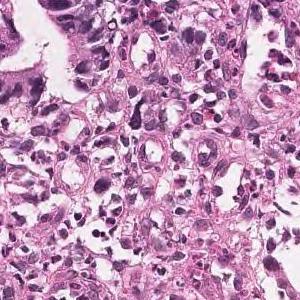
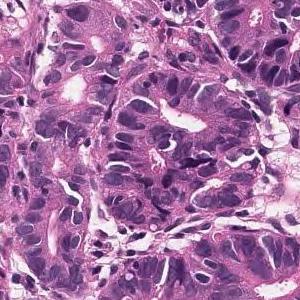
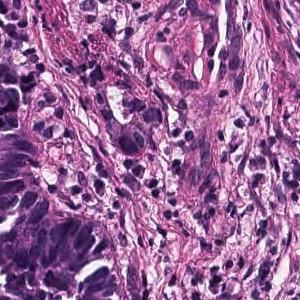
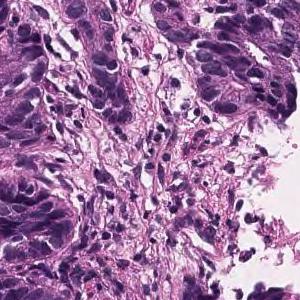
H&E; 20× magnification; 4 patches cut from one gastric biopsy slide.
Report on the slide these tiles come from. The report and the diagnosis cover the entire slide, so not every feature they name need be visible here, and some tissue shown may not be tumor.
In the superficial epithelium, tumor tissue is found in which medium-sized irregular gland ducts fuse with each other and infiltrate. moderately differentiated tubular adenocarcinoma
